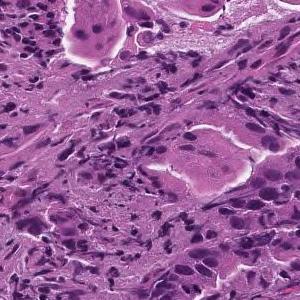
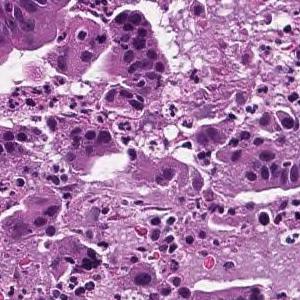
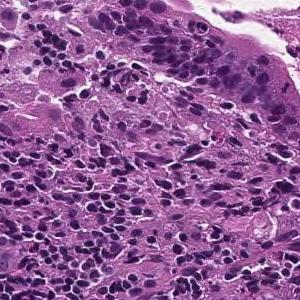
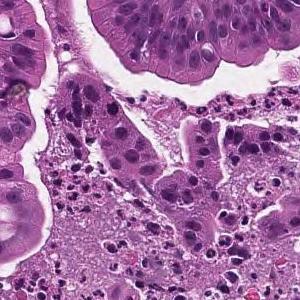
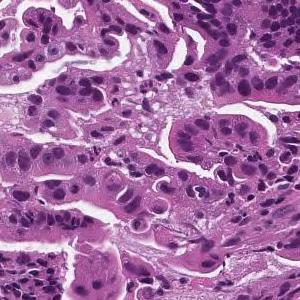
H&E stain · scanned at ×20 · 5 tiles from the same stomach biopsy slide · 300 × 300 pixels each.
Pathology report for the slide these tiles were cut from. Both the report and the diagnosis are for the whole slide: these tiles need not show every feature named, and some of the tissue shown may not be tumor.
From the superficial epithelium to the muscularis mucosae, tumor tissue consisting of medium-sized and irregular glandular ducts infiltrating is observed. Well differentiated tubular adenocarcinoma
